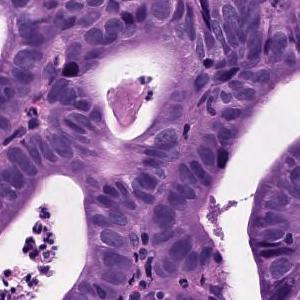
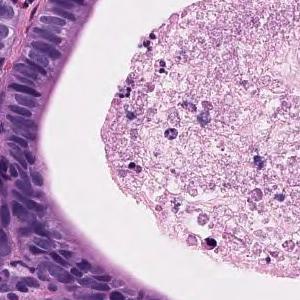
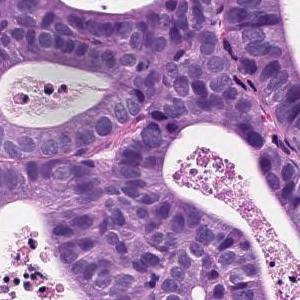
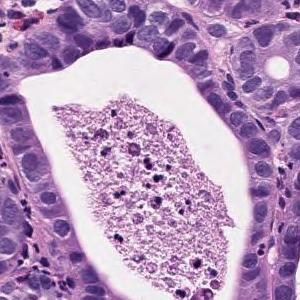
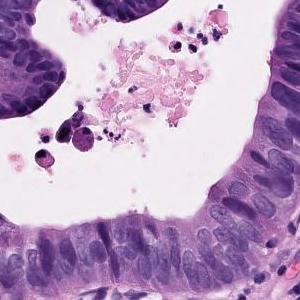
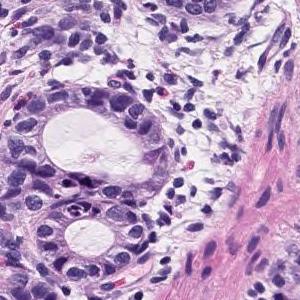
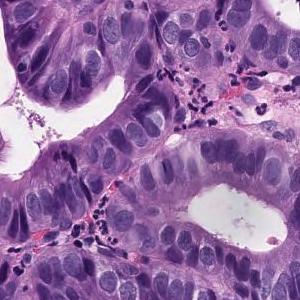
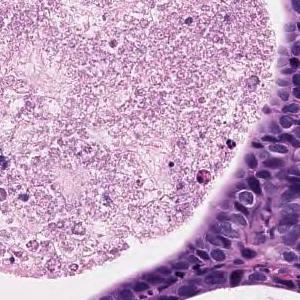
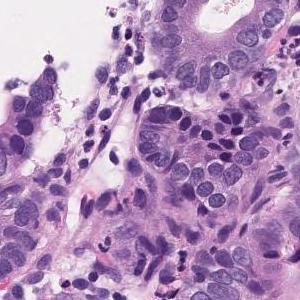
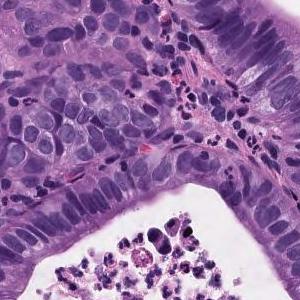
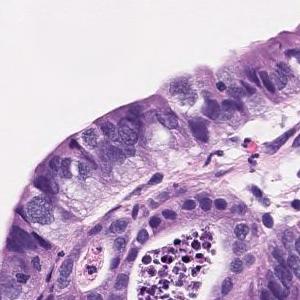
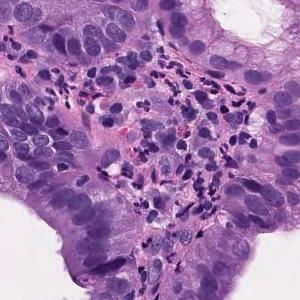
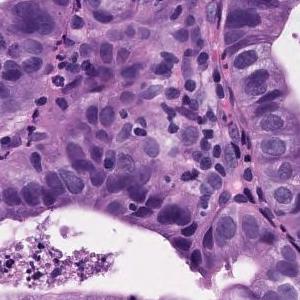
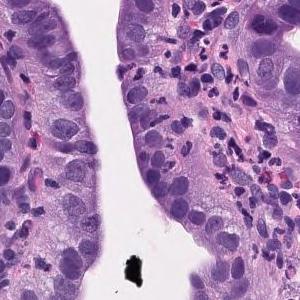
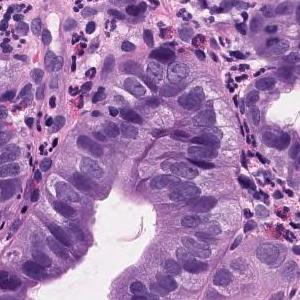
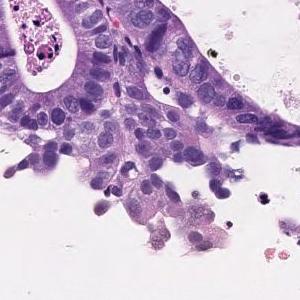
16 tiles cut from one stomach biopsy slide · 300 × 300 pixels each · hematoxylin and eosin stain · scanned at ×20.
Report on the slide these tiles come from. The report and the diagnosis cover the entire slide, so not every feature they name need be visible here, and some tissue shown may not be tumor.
Tumor tissue consisting of proliferative medium to large, round or irregular glandular ducts in the superficial epithelium. Well differentiated adenocarcinoma.
Classified as well differentiated tubular adenocarcinoma.
